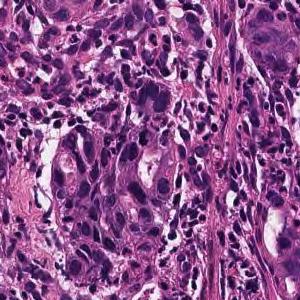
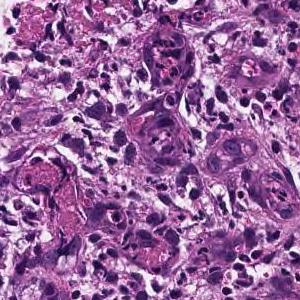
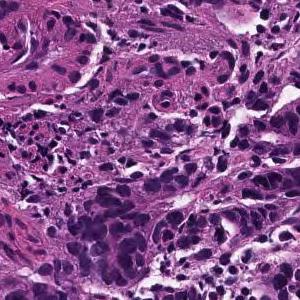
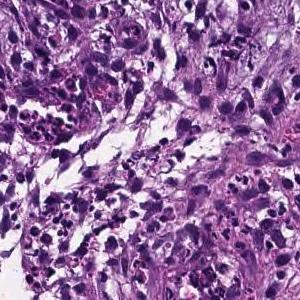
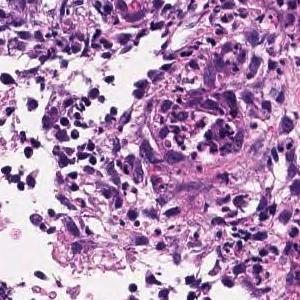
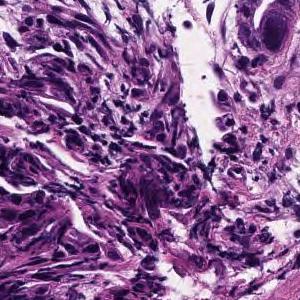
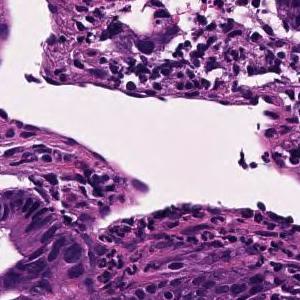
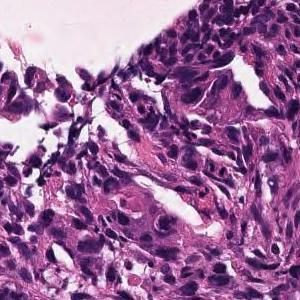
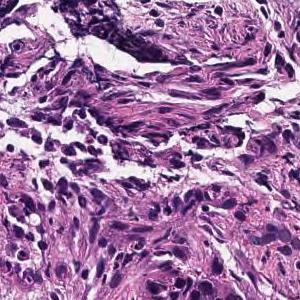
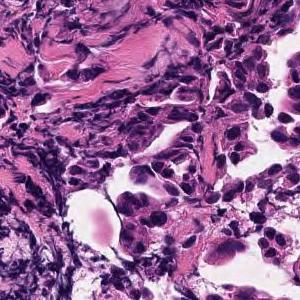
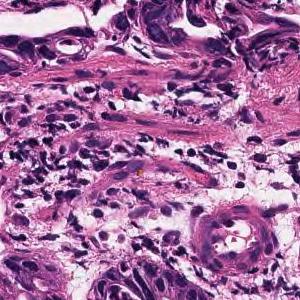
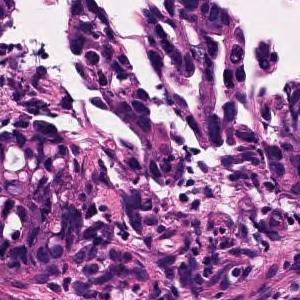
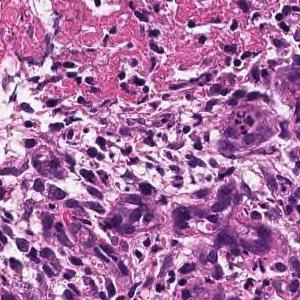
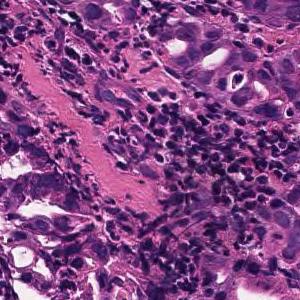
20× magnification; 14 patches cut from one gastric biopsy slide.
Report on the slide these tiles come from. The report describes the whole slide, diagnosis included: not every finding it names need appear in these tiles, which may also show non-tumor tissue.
In the superficial epithelium, medium-sized to small irregular glandular ducts are formed, and in some cases, the glandular ducts are fused or small cord-like infiltrating tumor tissue is observed. moderately differentiated tubular adenocarcinoma
